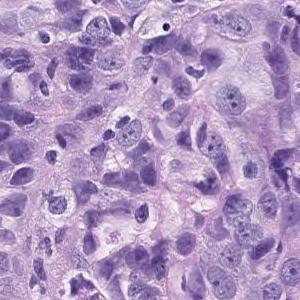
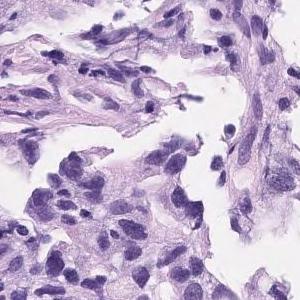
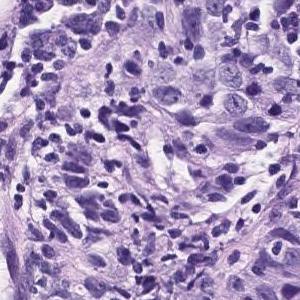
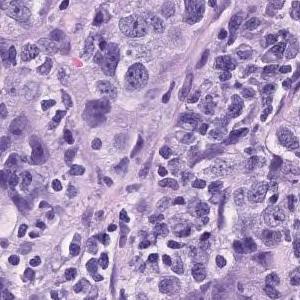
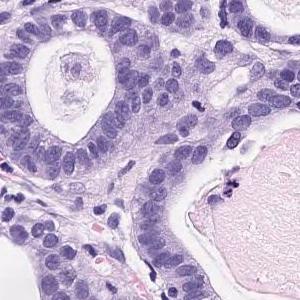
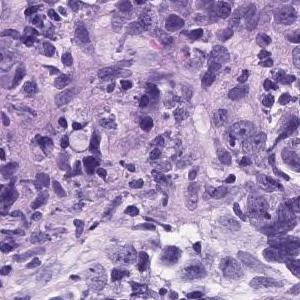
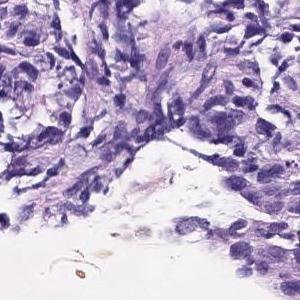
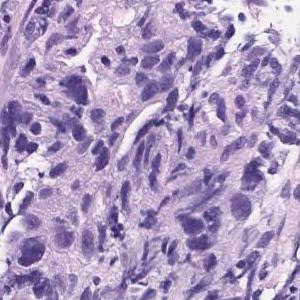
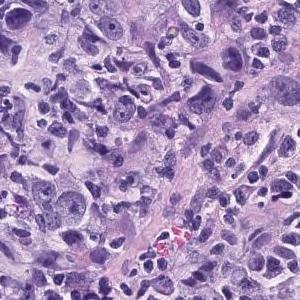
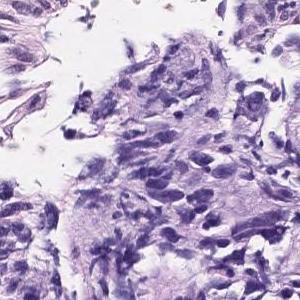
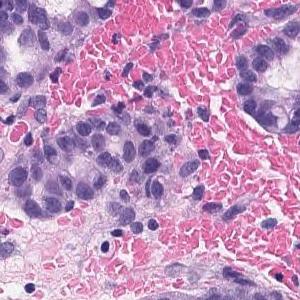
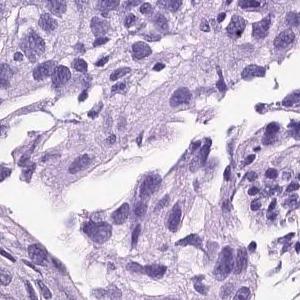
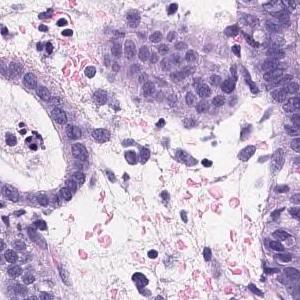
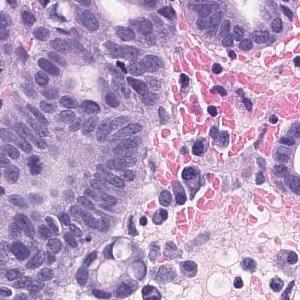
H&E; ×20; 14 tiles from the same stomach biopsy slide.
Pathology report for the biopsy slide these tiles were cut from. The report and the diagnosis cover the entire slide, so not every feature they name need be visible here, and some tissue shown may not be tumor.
The superficial epithelium shows a large sheet-like shape, and some tumor tissue infiltrates with small irregular ducts. Poorly differentiated adenocarcinoma, solid-type
Classified as poorly differentiated adenocarcinoma, solid type. This name comes from the Japanese Classification of Gastric Carcinoma; the WHO 2019 classification calls it tubular adenocarcinoma, poorly differentiated.
